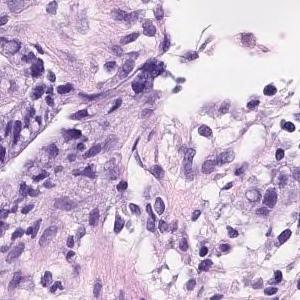
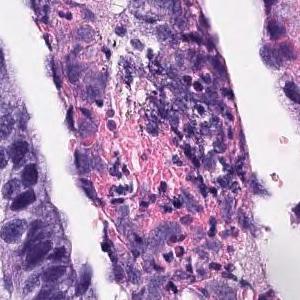
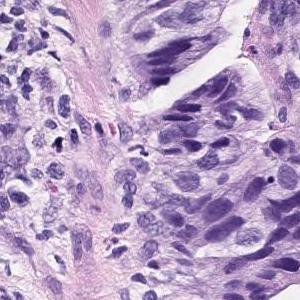
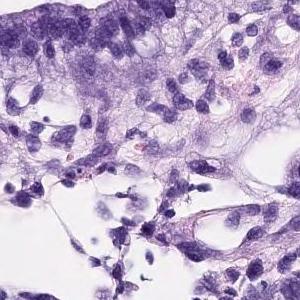
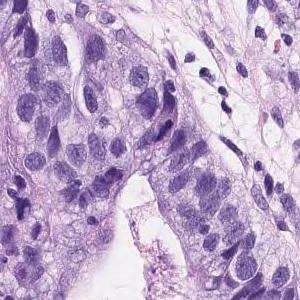
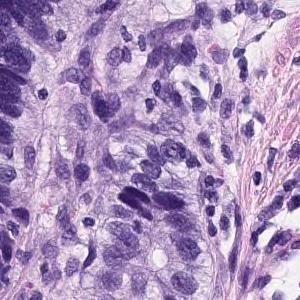
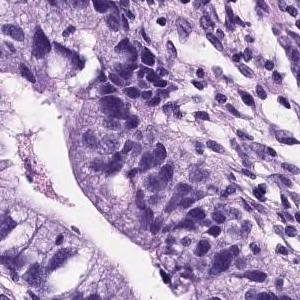
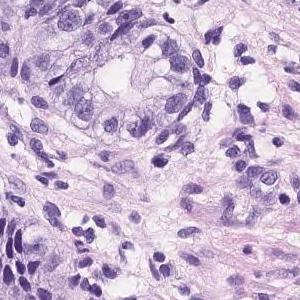
H&E, ×20, 8 tiles from the same stomach biopsy slide.
The pathologist's report on the biopsy slide these tiles were taken from. The report and the diagnosis describe the slide as a whole, so these tiles may not show every feature named and may include non-tumor tissue.
On the superficial epithelium, tumor tissue consisting of medium to small irregular tubules partially fused and proliferated is observed. moderately differentiated tubular adenocarcinoma
